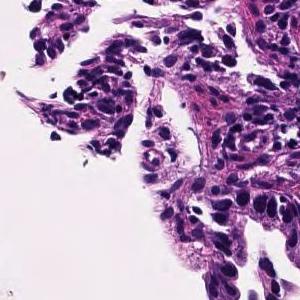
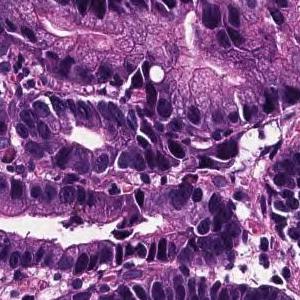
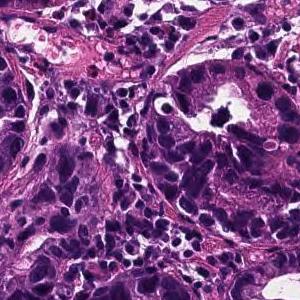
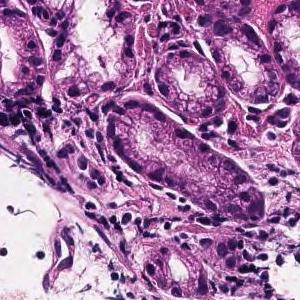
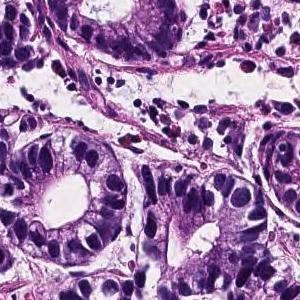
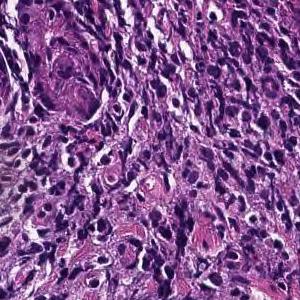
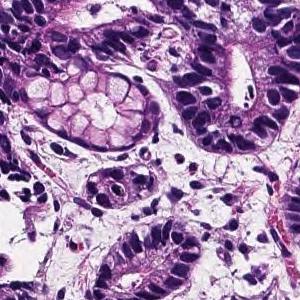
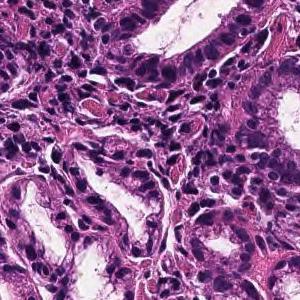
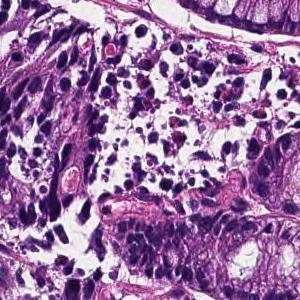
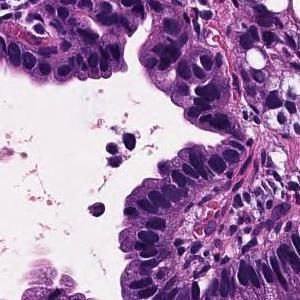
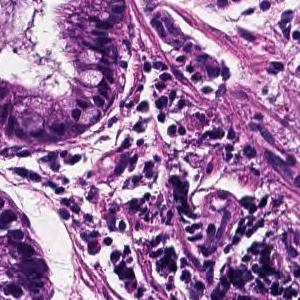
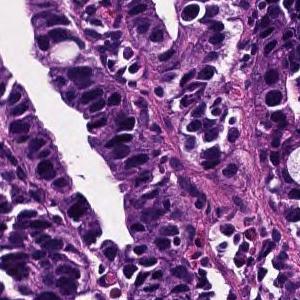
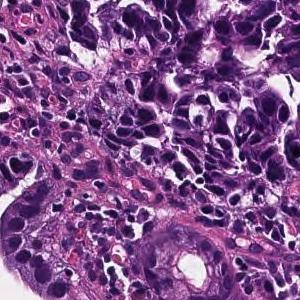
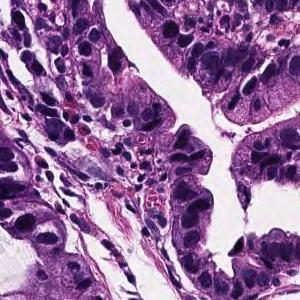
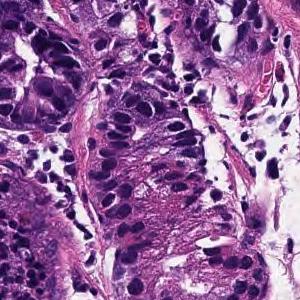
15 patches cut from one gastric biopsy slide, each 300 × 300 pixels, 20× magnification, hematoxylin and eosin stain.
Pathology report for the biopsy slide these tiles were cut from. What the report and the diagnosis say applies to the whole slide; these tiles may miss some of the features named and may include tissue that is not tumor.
Tumor cells are large, highly columnar, large club-shaped nuclei, and are associated with chromatin aggregation. Papillary adenocarcinoma.
